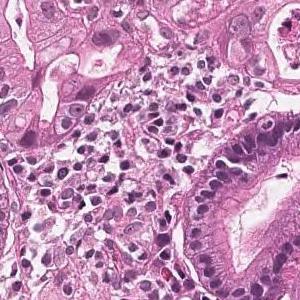
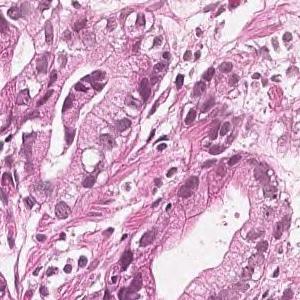
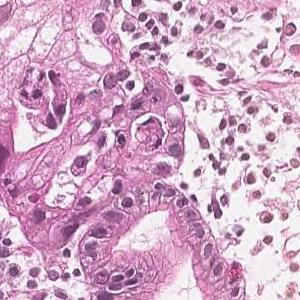
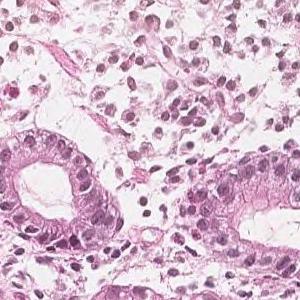
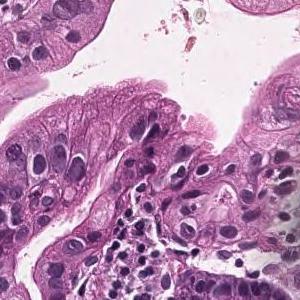
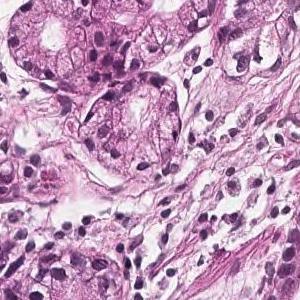
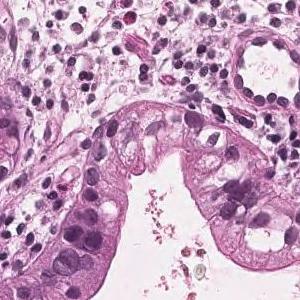
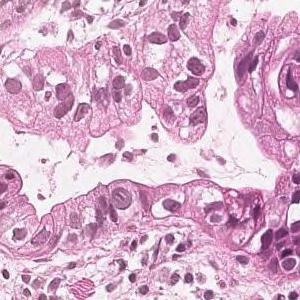
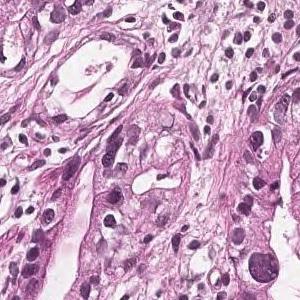
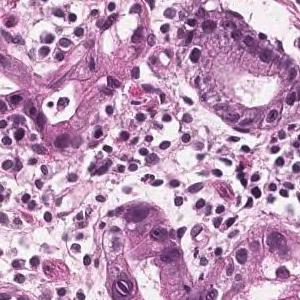
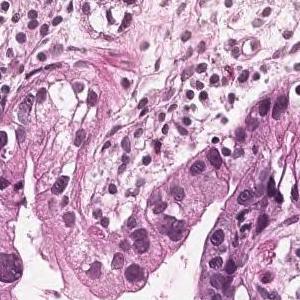
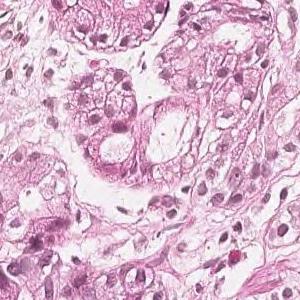
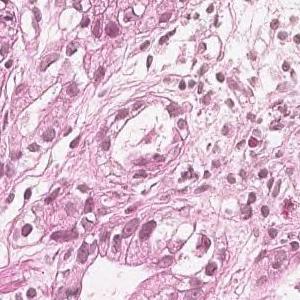
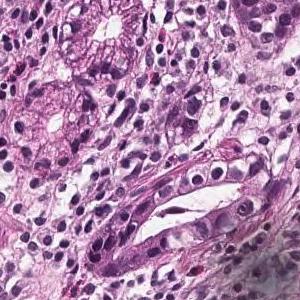
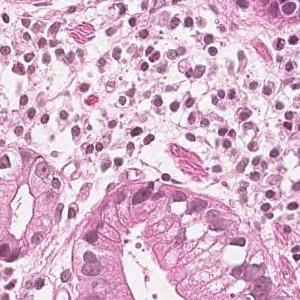
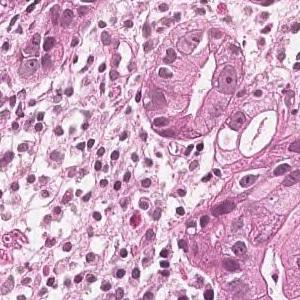
H&E stain, 16 tiles cut from one stomach biopsy slide.
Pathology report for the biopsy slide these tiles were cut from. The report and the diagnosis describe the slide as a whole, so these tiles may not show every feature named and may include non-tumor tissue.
In the superficial epithelium, tumor tissue that invades by forming medium-sized to small, irregular ducts is observed. moderately differentiated tubular adenocarcinoma.
